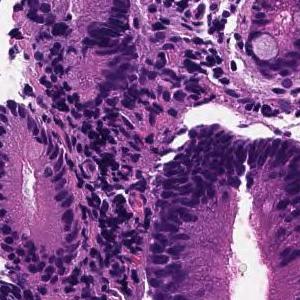
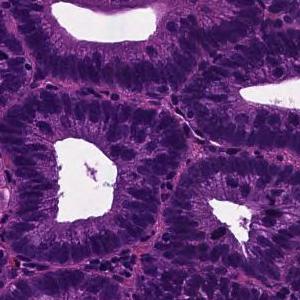
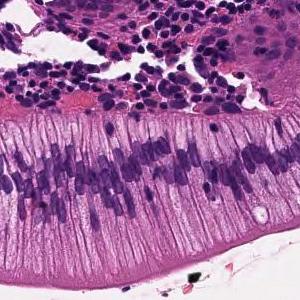
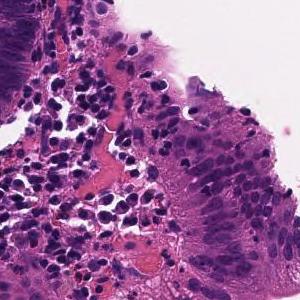
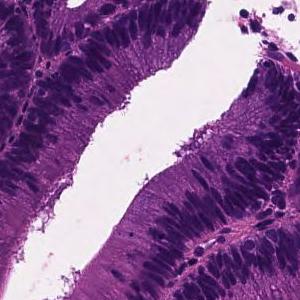
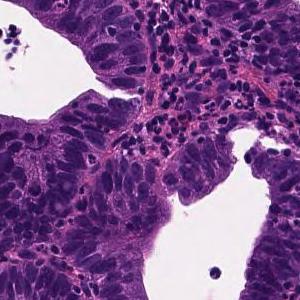
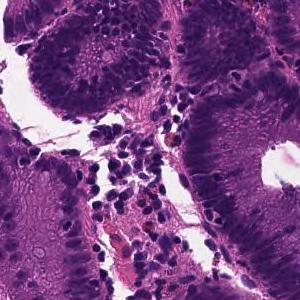
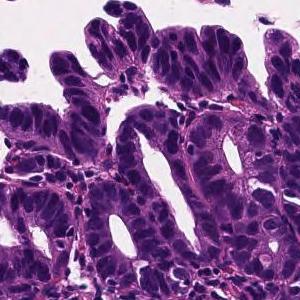
Hematoxylin and eosin stain; 8 image tiles from a single gastric biopsy slide.
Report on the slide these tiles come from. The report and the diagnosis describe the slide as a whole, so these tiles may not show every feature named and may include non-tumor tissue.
Tumor tissue in which medium to small irregular ducts infiltrate and proliferate in the submucosa can be seen in the epithelium. Well differentiated tubular adenocarcinoma
